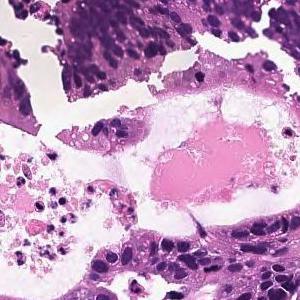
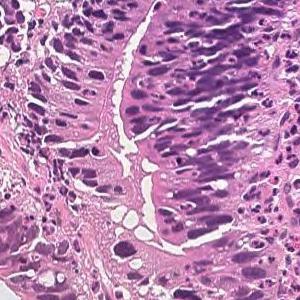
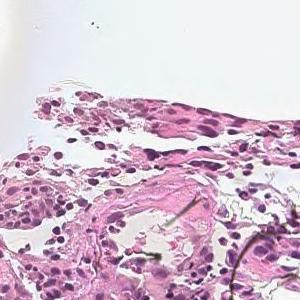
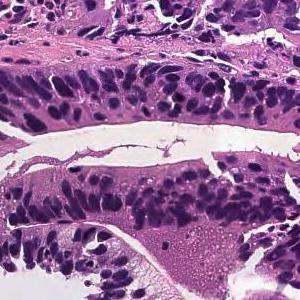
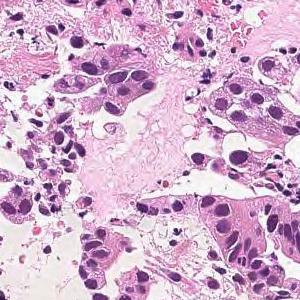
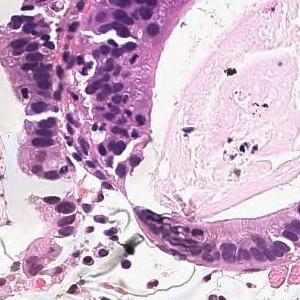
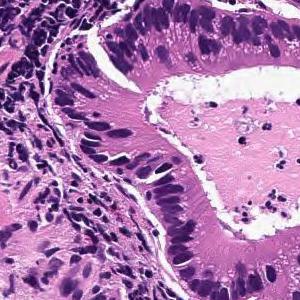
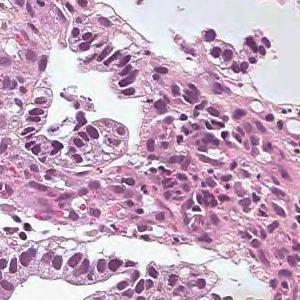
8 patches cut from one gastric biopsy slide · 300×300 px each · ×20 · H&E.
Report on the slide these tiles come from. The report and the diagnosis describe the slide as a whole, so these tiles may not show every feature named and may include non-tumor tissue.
On the superficial epithelium, tumor tissue consisting of large irregular glandular ducts partially fused and infiltrated is observed. Well to moderately differentiated tubular adenocarcinoma (well differentiated tubular adenocarcinoma, moderately differentiated tubular adenocarcinoma)
Subtype: Well to moderately differentiated tubular adenocarcinoma.
